16 image tiles from a single gastric biopsy slide, H&E stain, scanned at ×20.
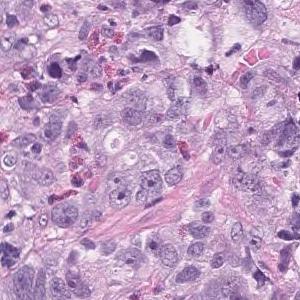
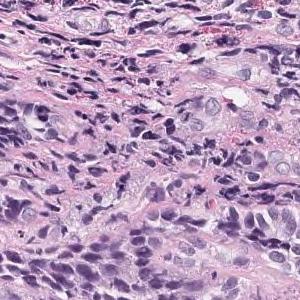
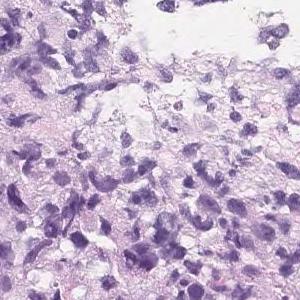
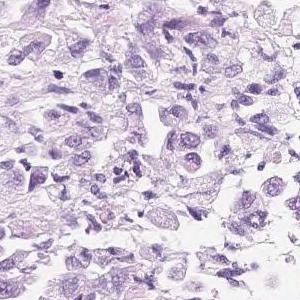
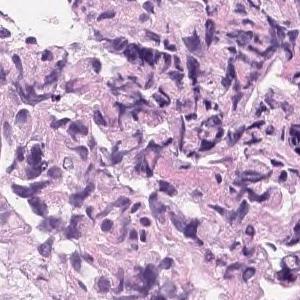
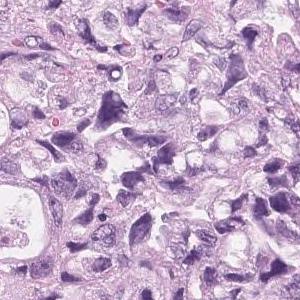
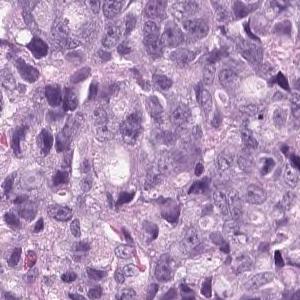
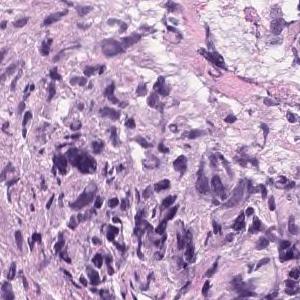
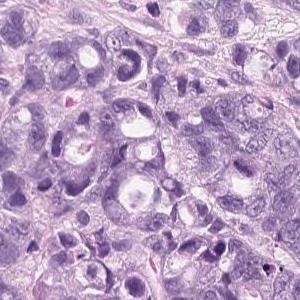
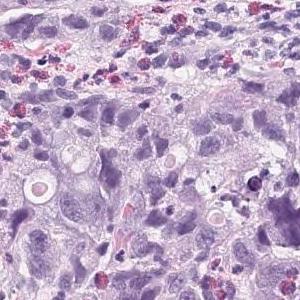
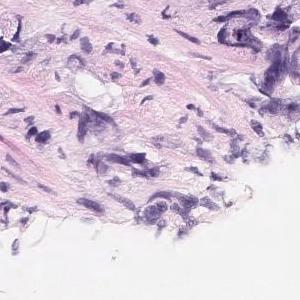
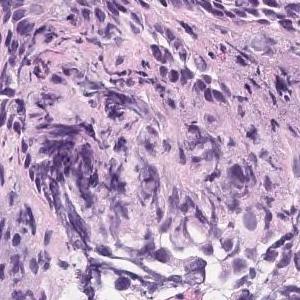
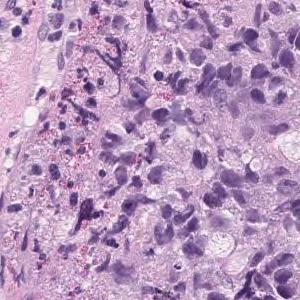
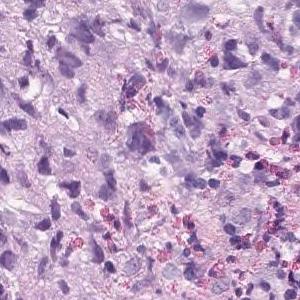
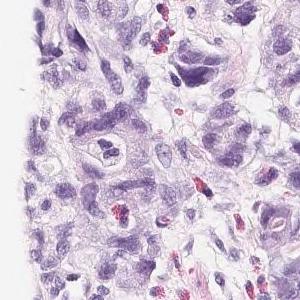
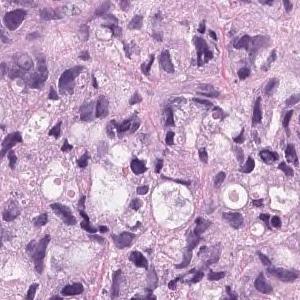
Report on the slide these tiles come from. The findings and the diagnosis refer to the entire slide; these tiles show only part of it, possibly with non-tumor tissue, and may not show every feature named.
Tumor tissue that infiltrates and proliferates by forming small glandular cavities in the superficial layer to the submucosa or forming a mass is observed. moderately differentiated tubular adenocarcinoma
